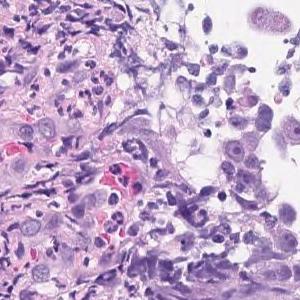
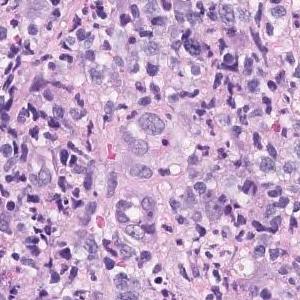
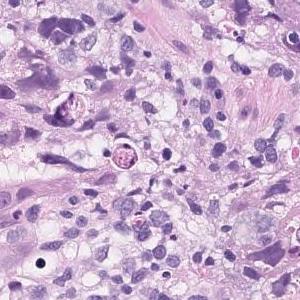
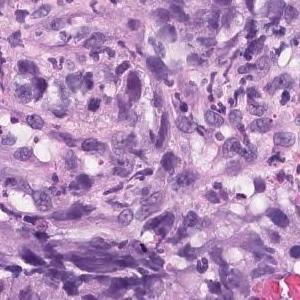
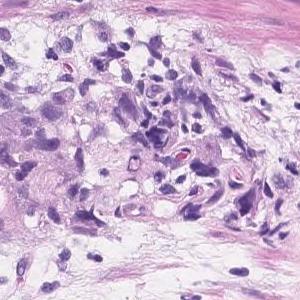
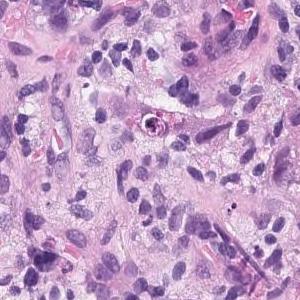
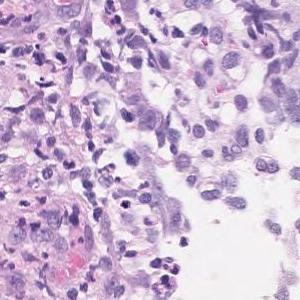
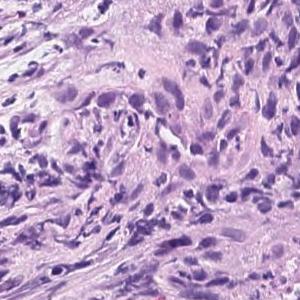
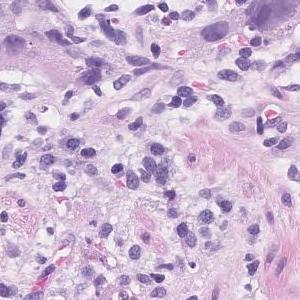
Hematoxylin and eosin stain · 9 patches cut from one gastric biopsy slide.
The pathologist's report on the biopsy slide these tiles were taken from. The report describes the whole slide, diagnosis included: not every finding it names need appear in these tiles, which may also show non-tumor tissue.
Atypical epithelial cells infiltrating and proliferating diffusely or while forming vesicles is observed. Poorly differentiated adenocarcinoma (poorly differentiated adenocarcinoma, solid type moderately differentiated tubular adenocarcinoma)
The dataset labels this slide poorly differentiated adenocarcinoma, solid type, a category of the Japanese Classification of Gastric Carcinoma; in the WHO 2019 classification it is tubular adenocarcinoma, poorly differentiated.
